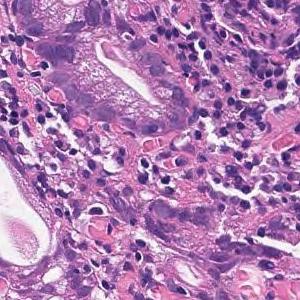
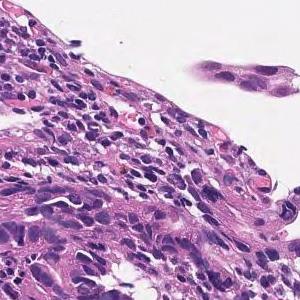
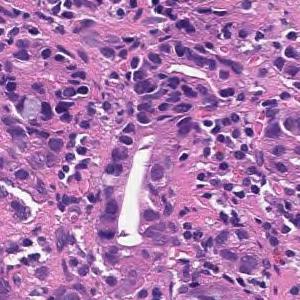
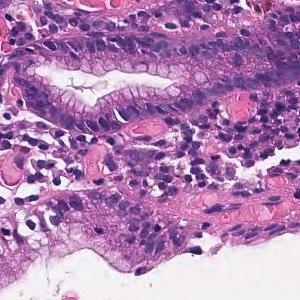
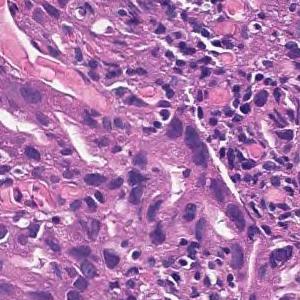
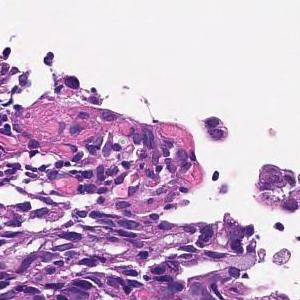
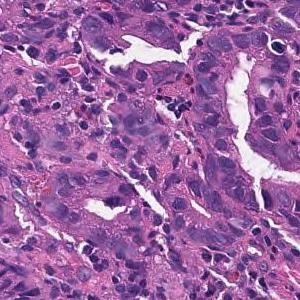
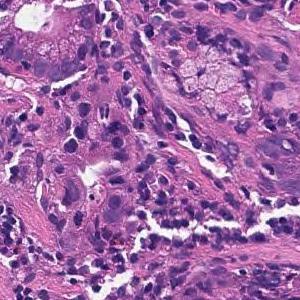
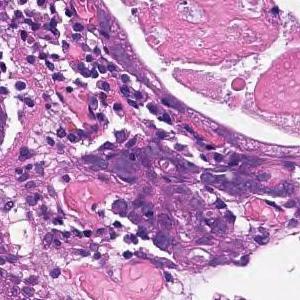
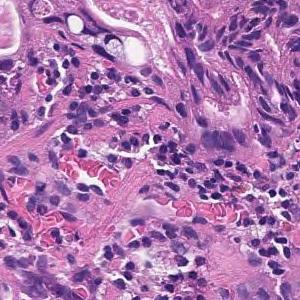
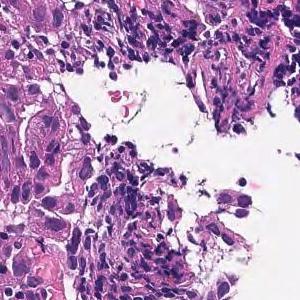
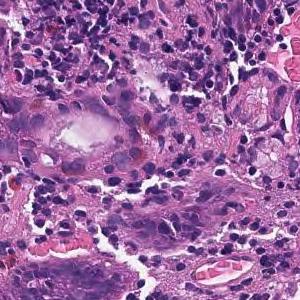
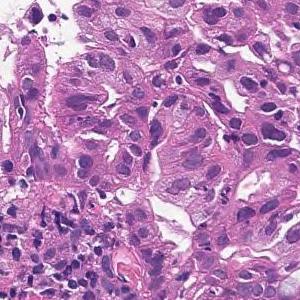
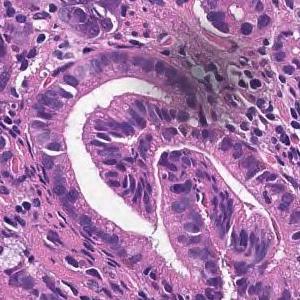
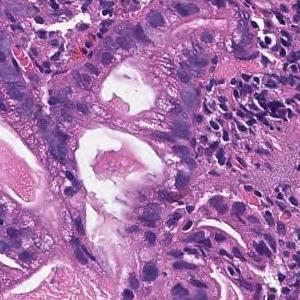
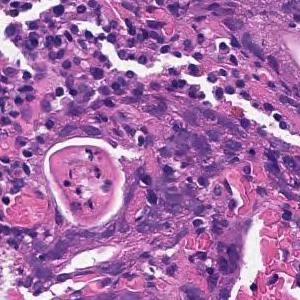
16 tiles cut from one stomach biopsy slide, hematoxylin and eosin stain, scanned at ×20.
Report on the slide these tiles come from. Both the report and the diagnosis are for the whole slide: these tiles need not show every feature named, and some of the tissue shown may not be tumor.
In the superficial epithelium, tumor tissue that invades by forming medium-sized to small, irregular ducts is observed. moderately differentiated tubular adenocarcinoma.
